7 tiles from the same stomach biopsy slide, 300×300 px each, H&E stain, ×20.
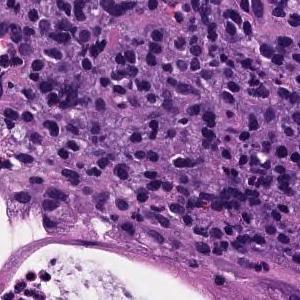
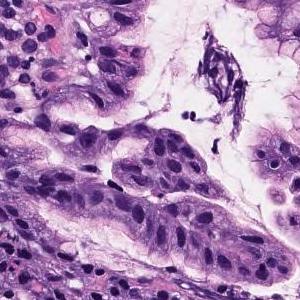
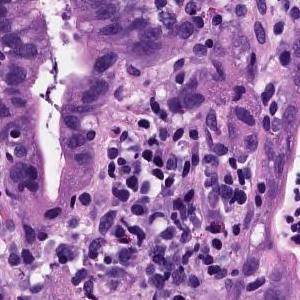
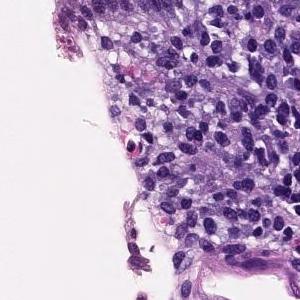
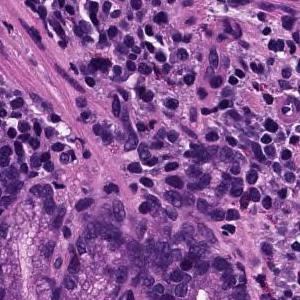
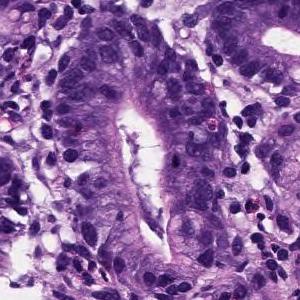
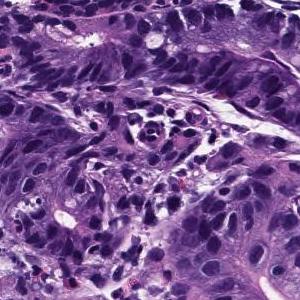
The pathologist's report on the biopsy slide these tiles were taken from. Both the report and the diagnosis are for the whole slide: these tiles need not show every feature named, and some of the tissue shown may not be tumor.
Medium to small, irregular glandular ducts are formed in the superficial epithelium, and in some cases, the glandular ducts are fused to show solid alveolar lesions and infiltrating tumor tissue is observed. Moderately to poorly differentiated adenocarcinoma.
